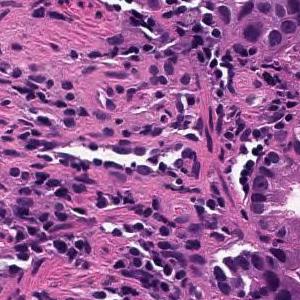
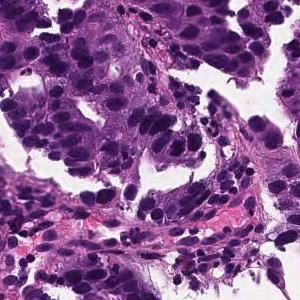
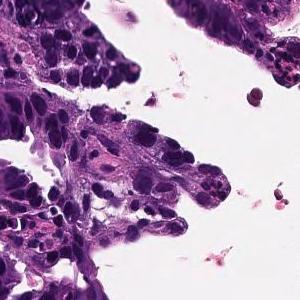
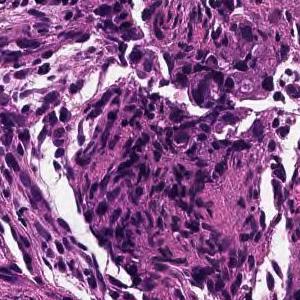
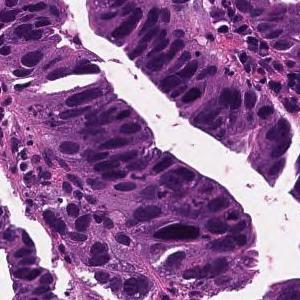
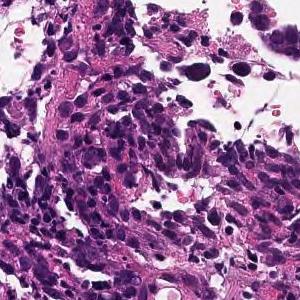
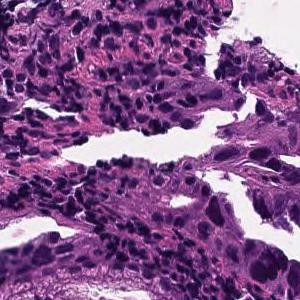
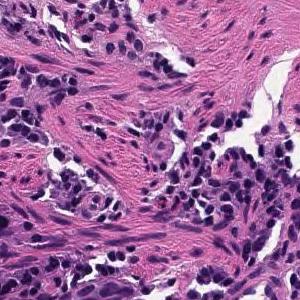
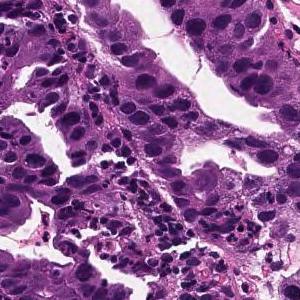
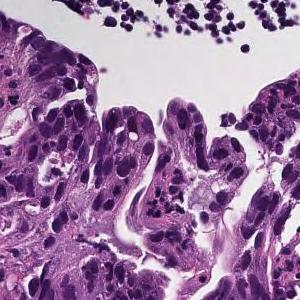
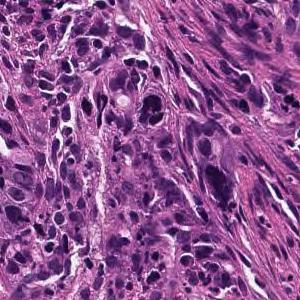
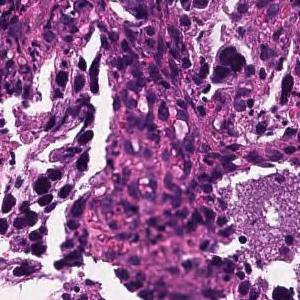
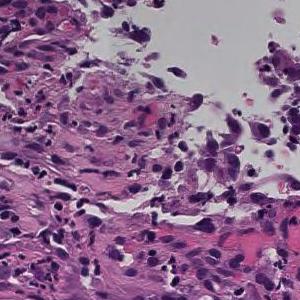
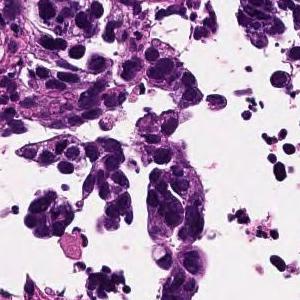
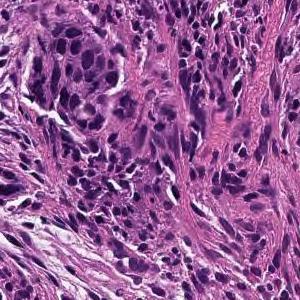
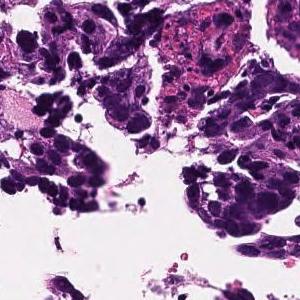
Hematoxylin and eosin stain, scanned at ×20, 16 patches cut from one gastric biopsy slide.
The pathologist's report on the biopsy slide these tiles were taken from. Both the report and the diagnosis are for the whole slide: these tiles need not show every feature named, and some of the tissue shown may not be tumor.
On the superficial epithelium, tumor tissue consisting of large irregular glandular ducts partially fused and infiltrated is observed. Well to moderately differentiated tubular adenocarcinoma (well differentiated tubular adenocarcinoma, moderately differentiated tubular adenocarcinoma)
Classified as well to moderately differentiated tubular adenocarcinoma.
